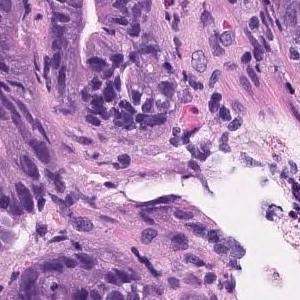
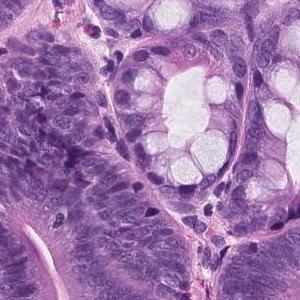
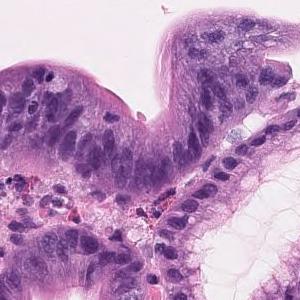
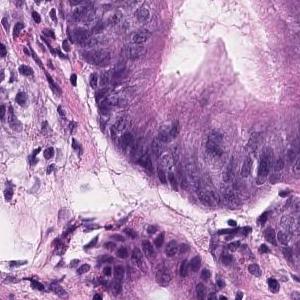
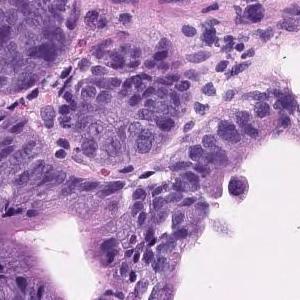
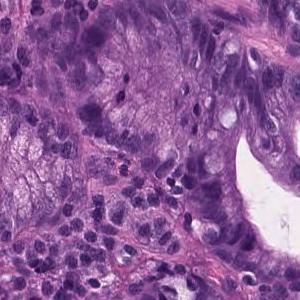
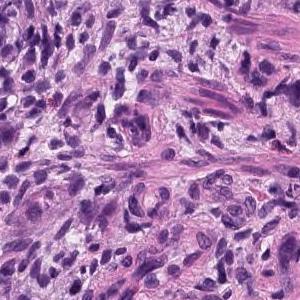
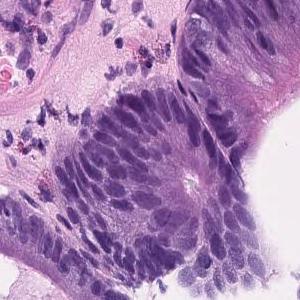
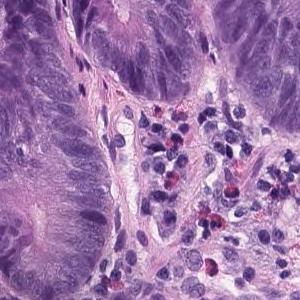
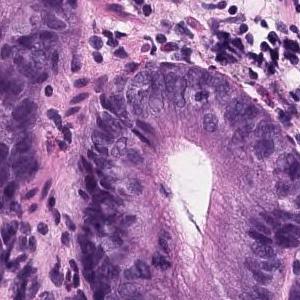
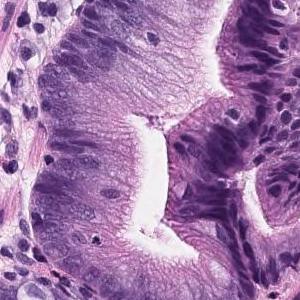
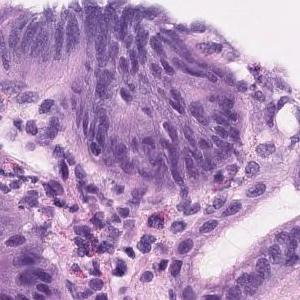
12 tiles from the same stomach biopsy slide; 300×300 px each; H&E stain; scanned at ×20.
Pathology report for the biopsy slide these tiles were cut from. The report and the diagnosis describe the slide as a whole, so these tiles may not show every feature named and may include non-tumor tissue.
On the superficial epithelium, tumor tissue with densely growing medium to large, round tubules is observed. Tumor cells are highly columnar, with nuclei aligned basolaterally and polarized. Well differentiated tubular adenocarcinoma
